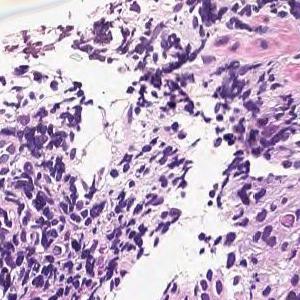
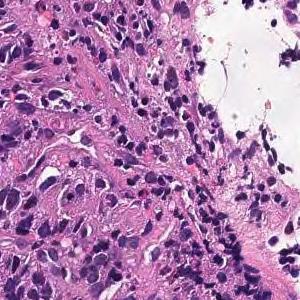
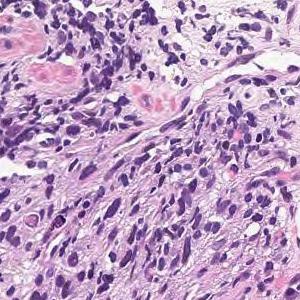
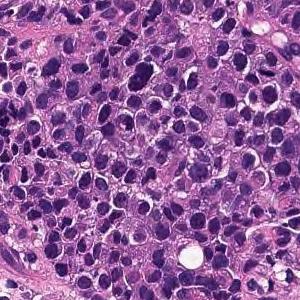
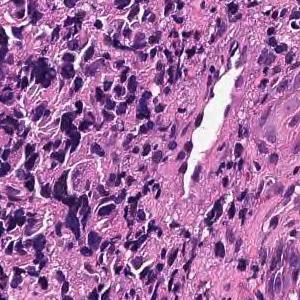
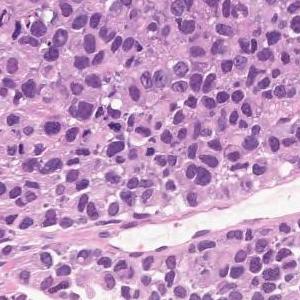
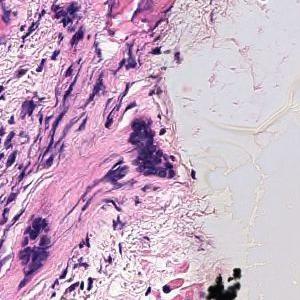
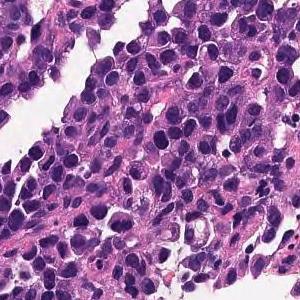
8 tiles from the same stomach biopsy slide; 300×300 px each; hematoxylin and eosin stain.
Report on the slide these tiles come from. The report and the diagnosis describe the slide as a whole, so these tiles may not show every feature named and may include non-tumor tissue.
Large sheet-like or diffusely infiltrating tumor tissue is found in the superficial epithelium. Poorly differentiated adenocarcinoma, solid-type
Classified as poorly differentiated adenocarcinoma, solid type (Japanese Classification of Gastric Carcinoma). The WHO 2019 equivalent is tubular adenocarcinoma, poorly differentiated.
